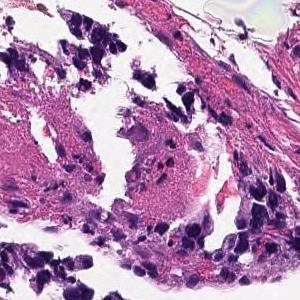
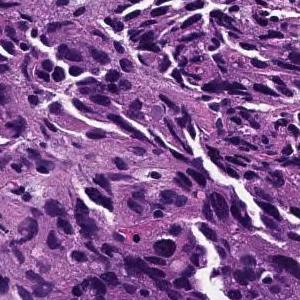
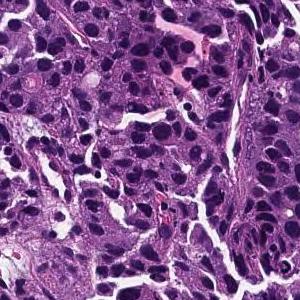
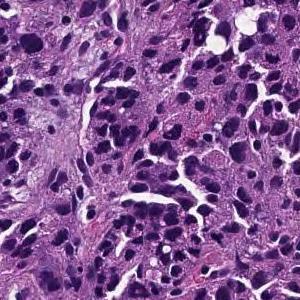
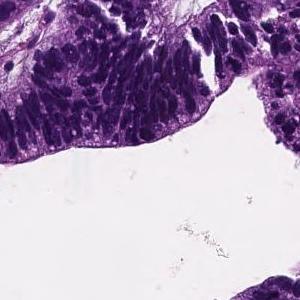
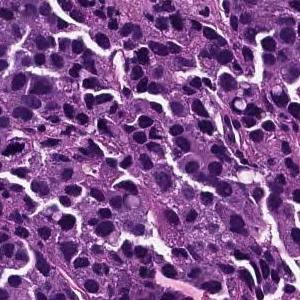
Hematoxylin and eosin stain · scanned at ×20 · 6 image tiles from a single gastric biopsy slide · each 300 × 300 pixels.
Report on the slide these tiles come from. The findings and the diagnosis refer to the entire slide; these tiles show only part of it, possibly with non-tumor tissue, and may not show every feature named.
From the superficial epithelium to the muscularis mucosae, tumor tissue consisting of medium-sized and irregular glandular ducts infiltrating is observed. Well differentiated tubular adenocarcinoma
